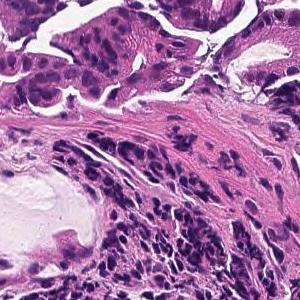
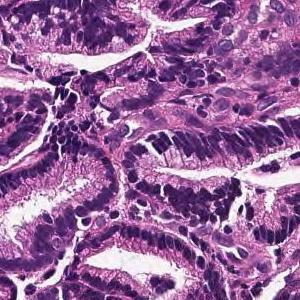
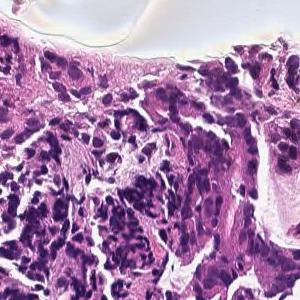
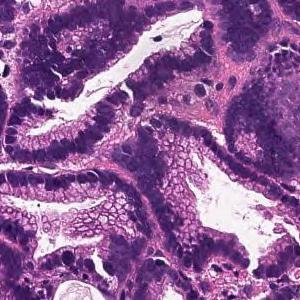
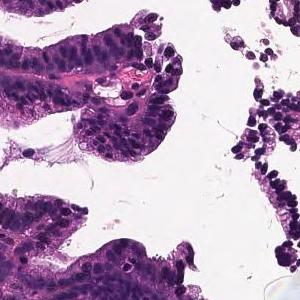
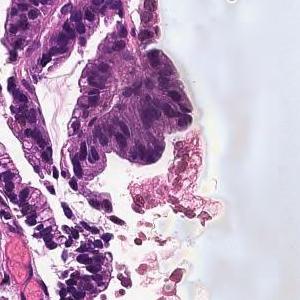
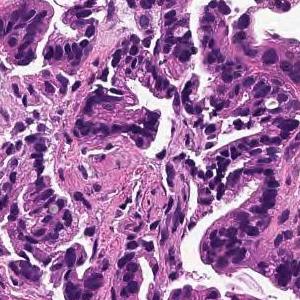
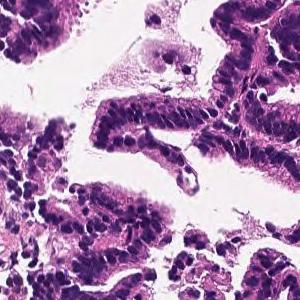
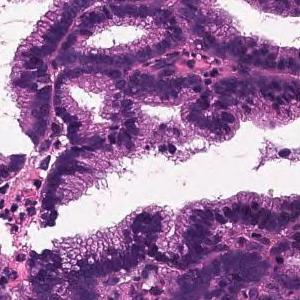
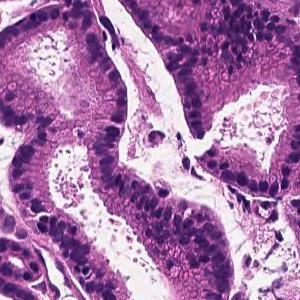
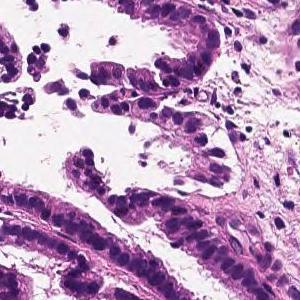
H&E; 20× magnification; 11 tiles from the same stomach biopsy slide; each 300 × 300 pixels.
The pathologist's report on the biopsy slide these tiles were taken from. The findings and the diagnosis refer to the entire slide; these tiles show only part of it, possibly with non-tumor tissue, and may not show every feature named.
On the superficial epithelium, tumor tissue consisting of large irregular glandular ducts partially fused and infiltrated is observed. Well to moderately differentiated tubular adenocarcinoma (well differentiated tubular adenocarcinoma, moderately differentiated tubular adenocarcinoma)
Histologic type: Well to moderately differentiated tubular adenocarcinoma.
